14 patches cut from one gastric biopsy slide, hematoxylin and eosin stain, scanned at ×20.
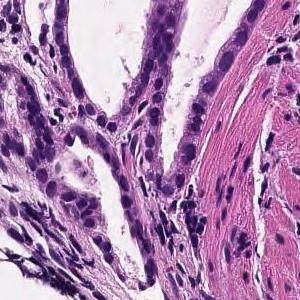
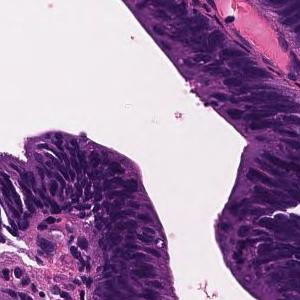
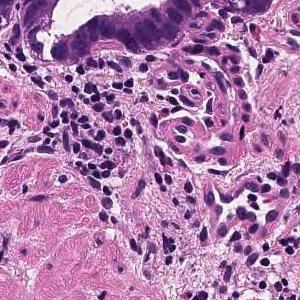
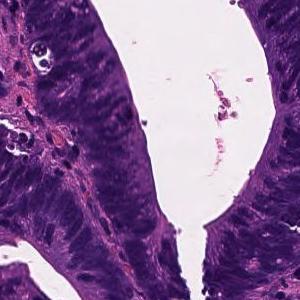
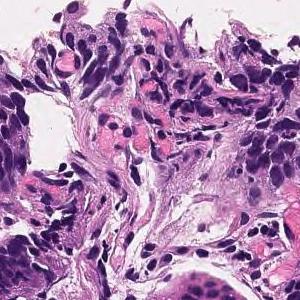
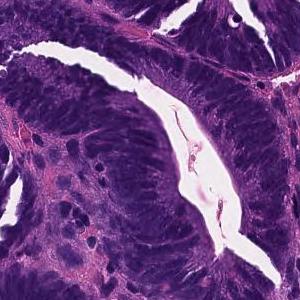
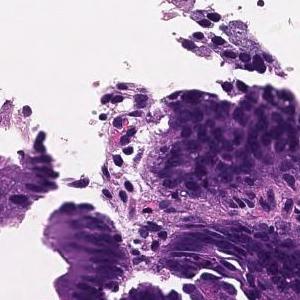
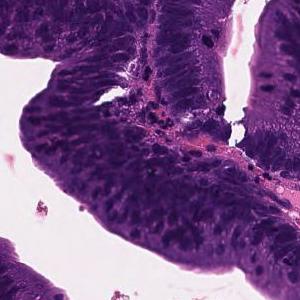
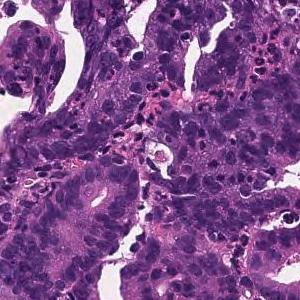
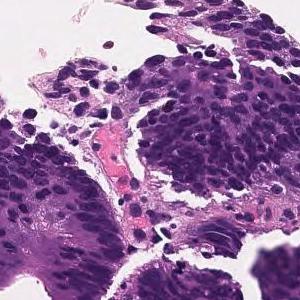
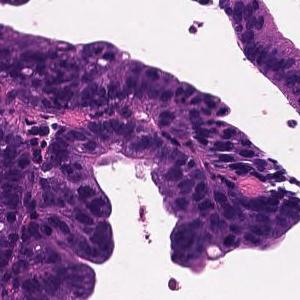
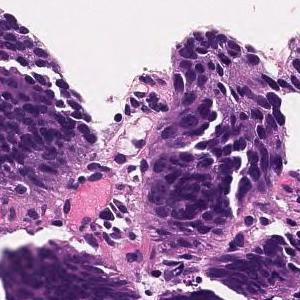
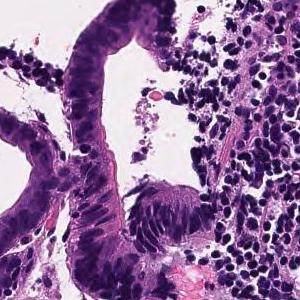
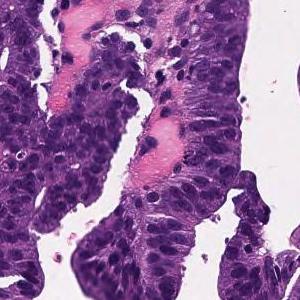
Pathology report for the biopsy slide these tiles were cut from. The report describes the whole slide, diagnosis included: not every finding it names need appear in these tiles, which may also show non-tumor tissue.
Tumor tissue consisting of large papillary structures is found in the superficial epithelium. Papillary adenocarcinoma.
